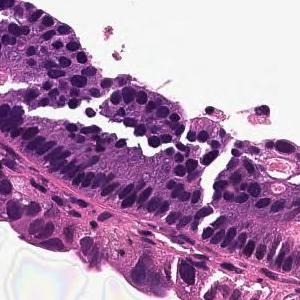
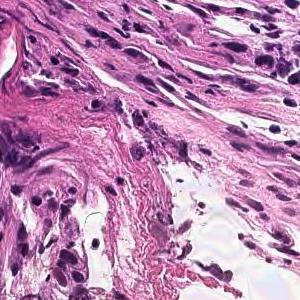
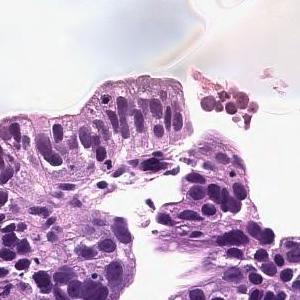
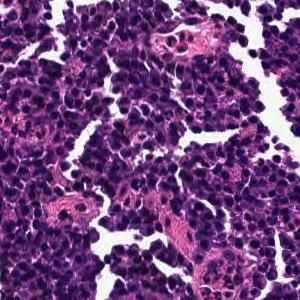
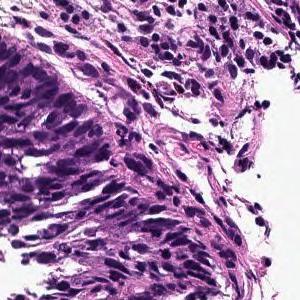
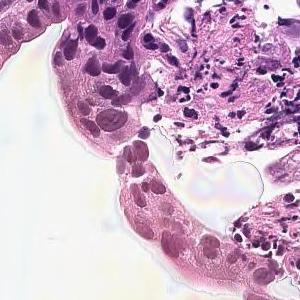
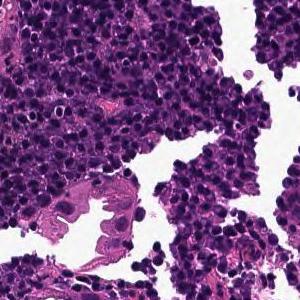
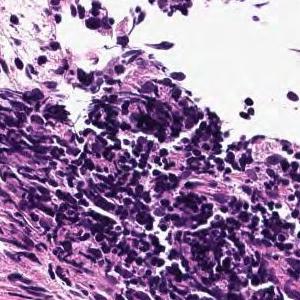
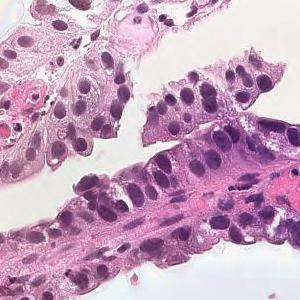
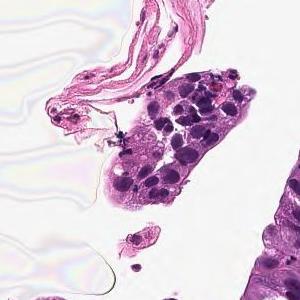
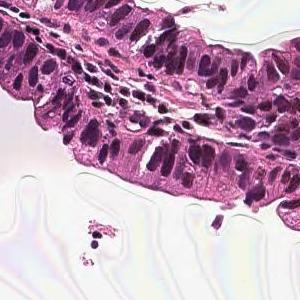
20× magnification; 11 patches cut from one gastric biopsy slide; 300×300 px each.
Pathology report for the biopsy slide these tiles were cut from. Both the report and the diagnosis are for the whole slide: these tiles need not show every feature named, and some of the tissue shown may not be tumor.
On the superficial epithelium, tumor tissue that infiltrates by forming medium-sized papillary or small irregular ducts is observed. Papillary adenocarcinoma
